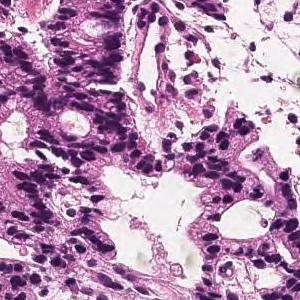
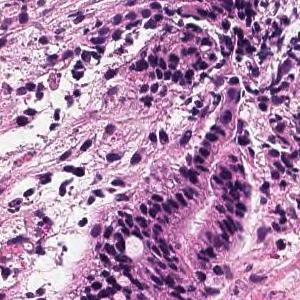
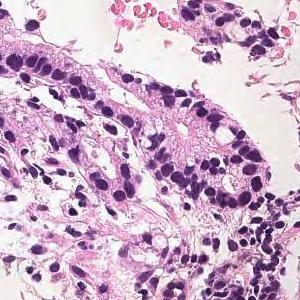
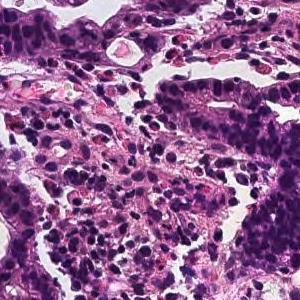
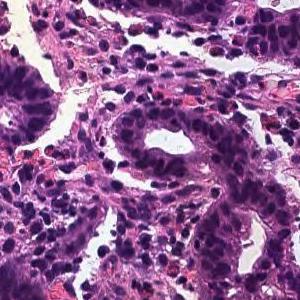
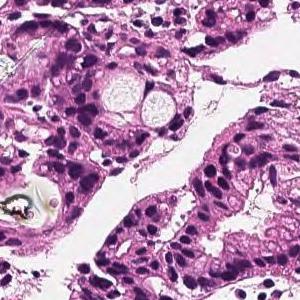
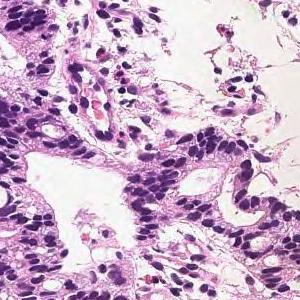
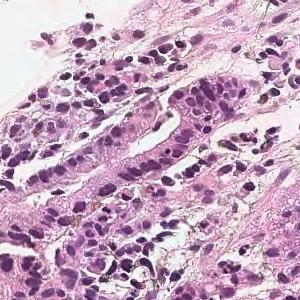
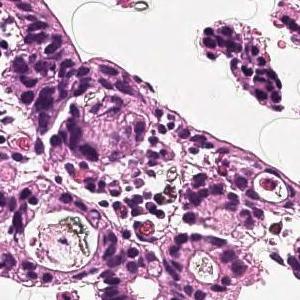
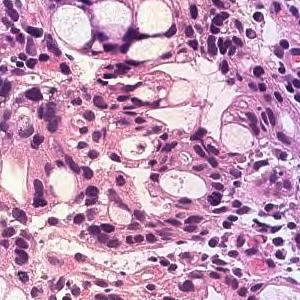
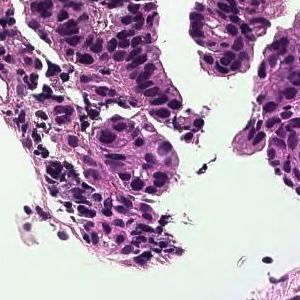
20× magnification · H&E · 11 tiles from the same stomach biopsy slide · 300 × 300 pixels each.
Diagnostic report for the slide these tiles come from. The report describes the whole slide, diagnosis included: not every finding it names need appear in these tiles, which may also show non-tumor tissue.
In the superficial epithelium, tumor tissue that invades by forming medium-sized to small, irregular ducts is observed. moderately differentiated tubular adenocarcinoma.
